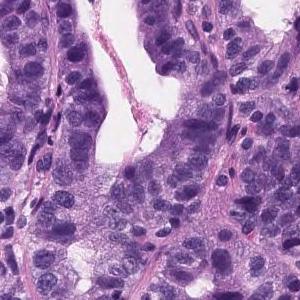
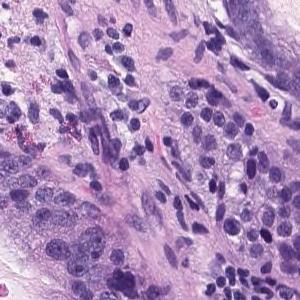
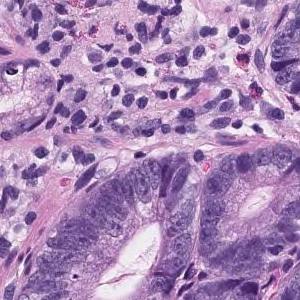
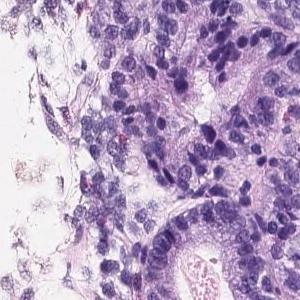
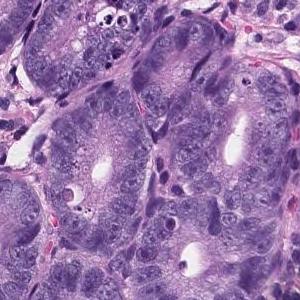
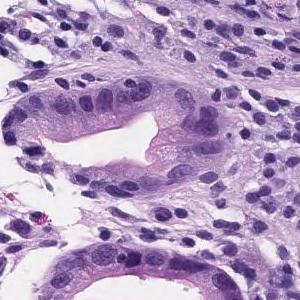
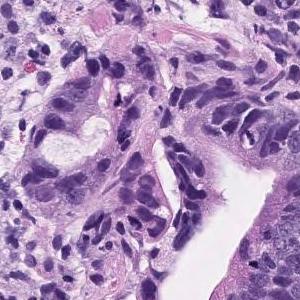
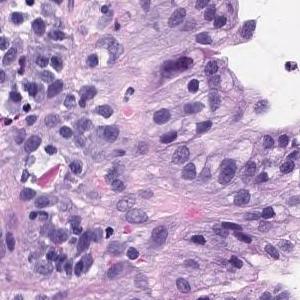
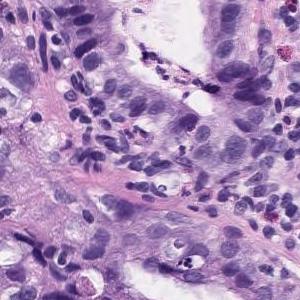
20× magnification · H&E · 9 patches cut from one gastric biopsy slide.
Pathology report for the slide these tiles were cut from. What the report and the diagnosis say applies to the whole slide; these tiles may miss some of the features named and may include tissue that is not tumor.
Tumor tissue consisting of medium-sized and irregular ducts is observed infiltrating in the superficial epithelium. Tumor cells are highly columnar, with nuclei aligned basolaterally and polarized. Well differentiated tubular adenocarcinoma.
